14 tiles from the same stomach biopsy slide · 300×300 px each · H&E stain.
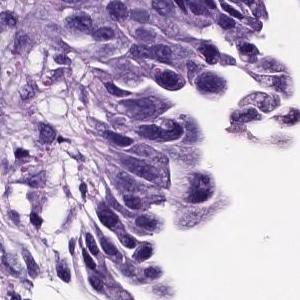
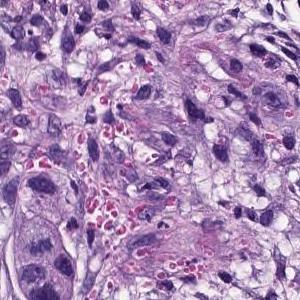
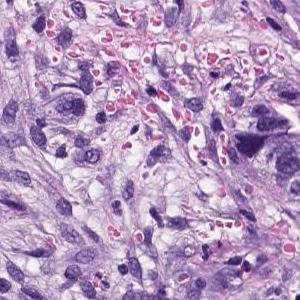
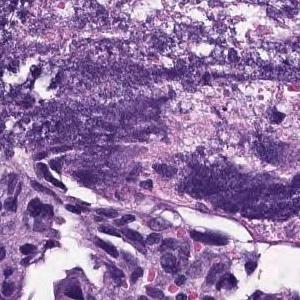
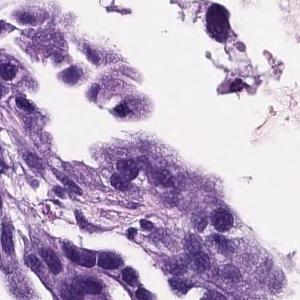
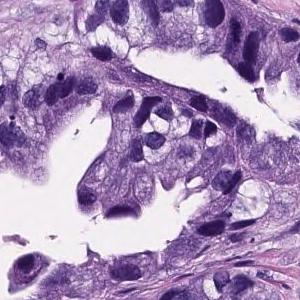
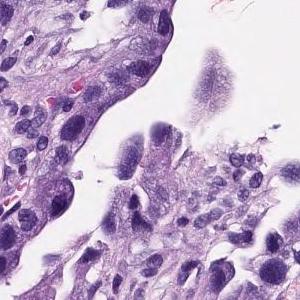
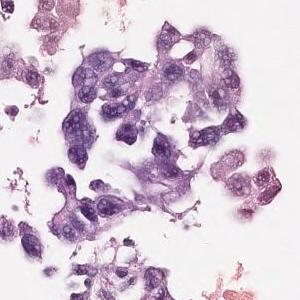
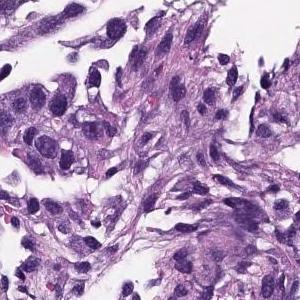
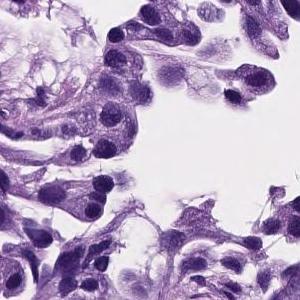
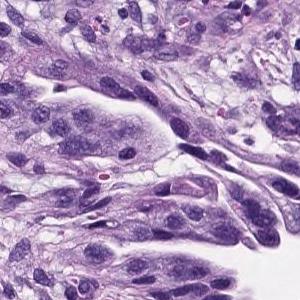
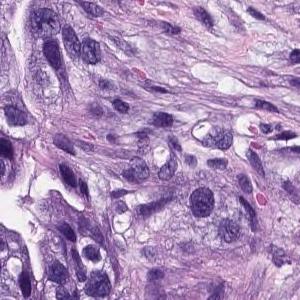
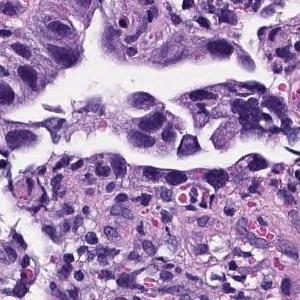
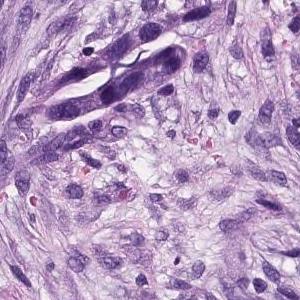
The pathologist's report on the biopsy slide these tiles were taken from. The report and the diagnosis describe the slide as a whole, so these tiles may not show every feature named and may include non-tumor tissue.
gastric mucosal tissue with atypical glandular proliferation arranged in tubules and acini. The tumor cells showed hyperchromatic nuclei, high N/C ratio and loss of polarity. Tubular adenocarcinoma of stomach, moderately differentiated.
Subtype: Moderately differentiated tubular adenocarcinoma.
